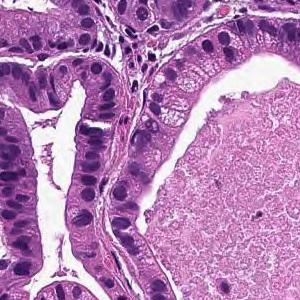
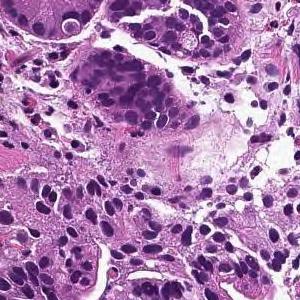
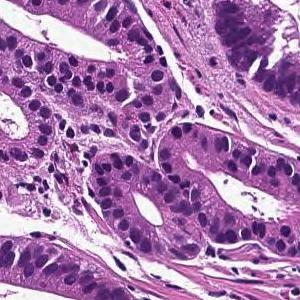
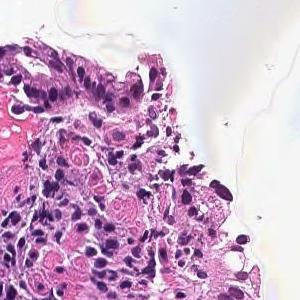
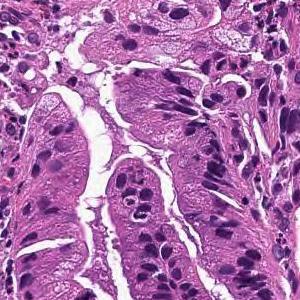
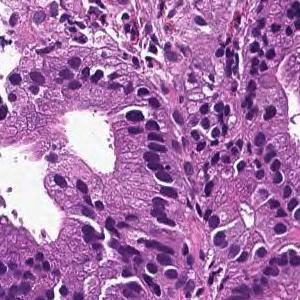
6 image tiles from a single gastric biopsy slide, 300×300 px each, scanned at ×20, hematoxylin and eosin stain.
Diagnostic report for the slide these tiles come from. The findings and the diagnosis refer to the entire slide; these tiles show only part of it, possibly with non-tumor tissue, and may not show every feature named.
Tumor cells are large, highly columnar, large club-shaped nuclei, and are associated with chromatin aggregation. Papillary adenocarcinoma.
